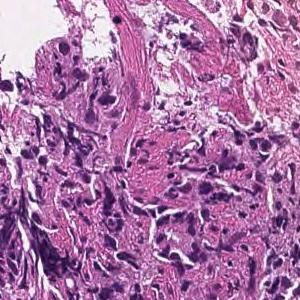
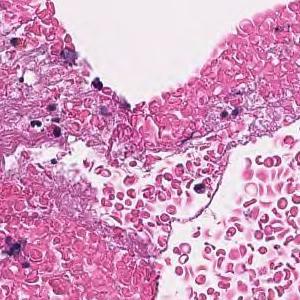
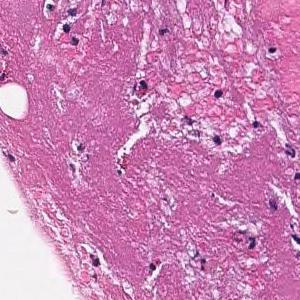
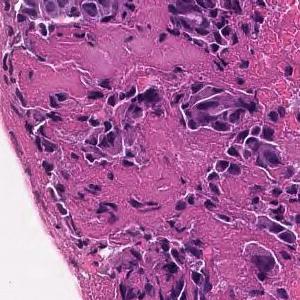
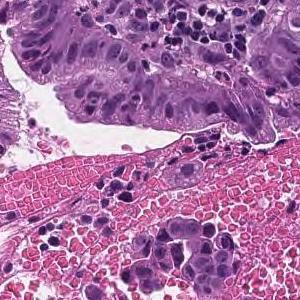
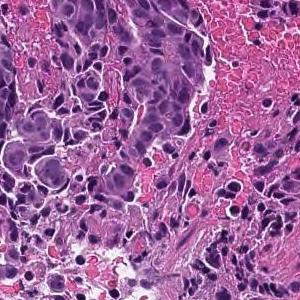
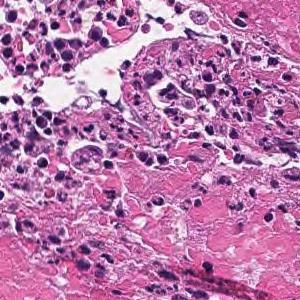
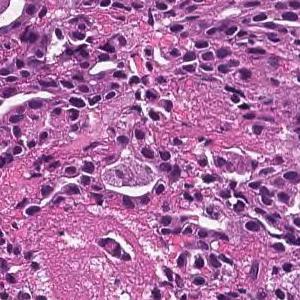
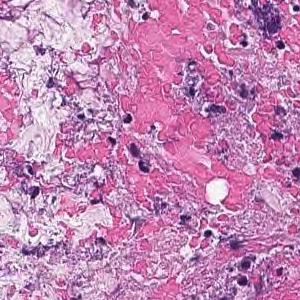
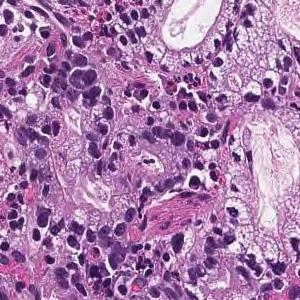
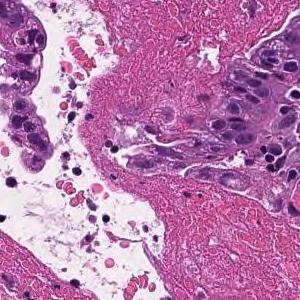
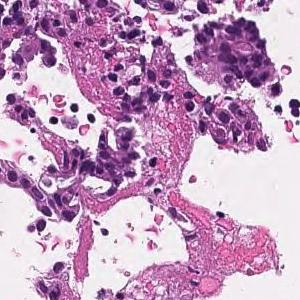
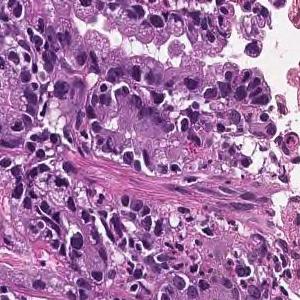
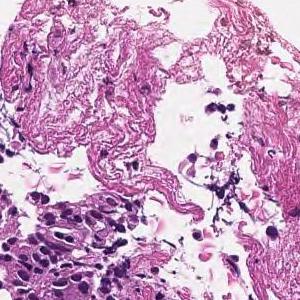
14 tiles cut from one stomach biopsy slide; H&E stain; scanned at ×20.
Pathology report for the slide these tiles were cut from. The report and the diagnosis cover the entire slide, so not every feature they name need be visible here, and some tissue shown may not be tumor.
On the superficial epithelium, tumor tissue that infiltrates by forming medium-sized papillary or small irregular ducts is observed. Papillary adenocarcinoma
